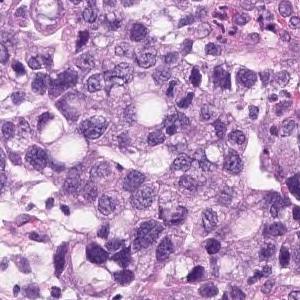
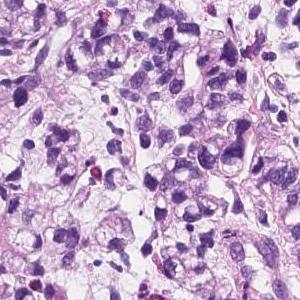
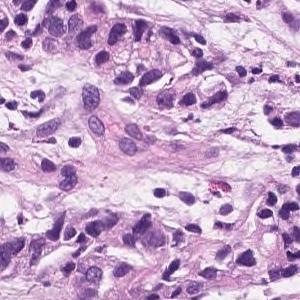
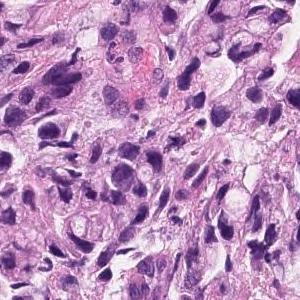
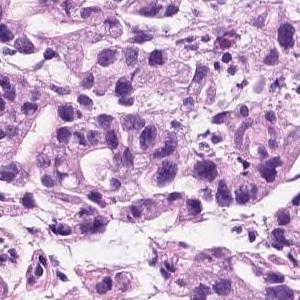
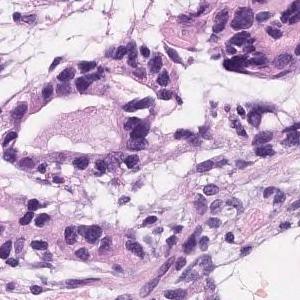
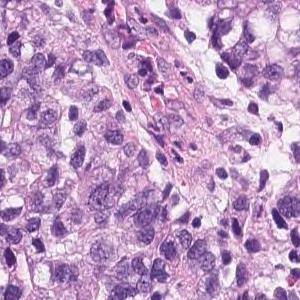
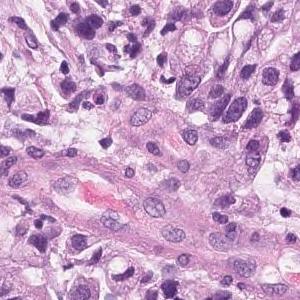
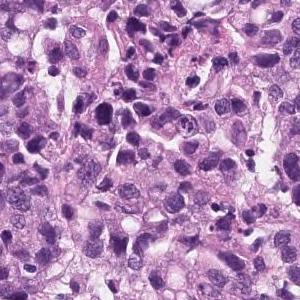
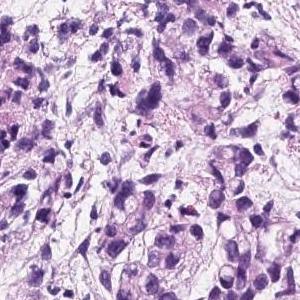
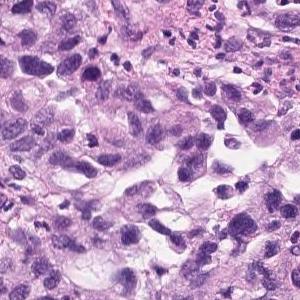
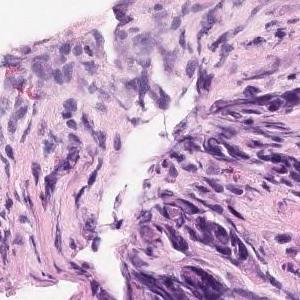
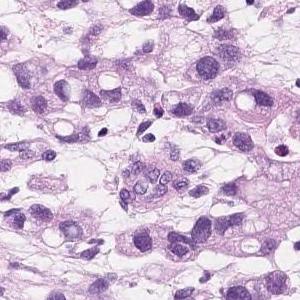
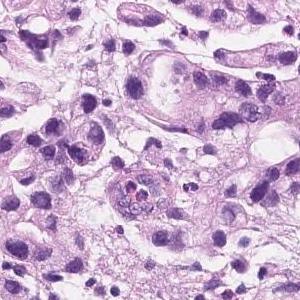
20× magnification; 14 patches cut from one gastric biopsy slide; each 300 × 300 pixels.
Diagnostic report for the slide these tiles come from. The report describes the whole slide, diagnosis included: not every finding it names need appear in these tiles, which may also show non-tumor tissue.
Group 5, Adenocarcinoma. Poorly differentiated adenocarcinoma, non-solid type
The non-solid type named here is a Japanese Classification of Gastric Carcinoma category.
